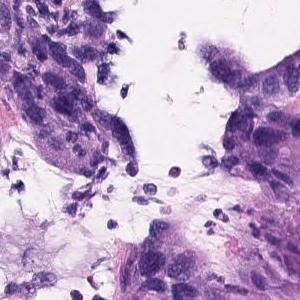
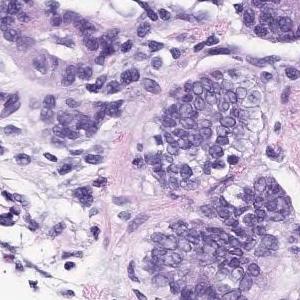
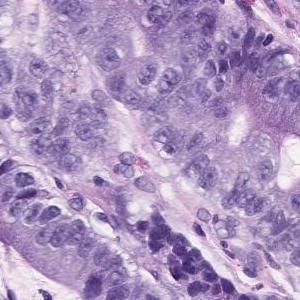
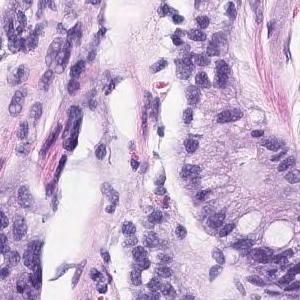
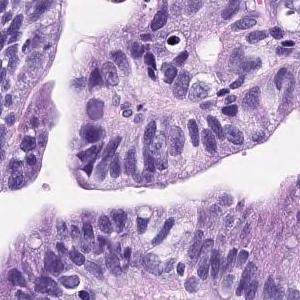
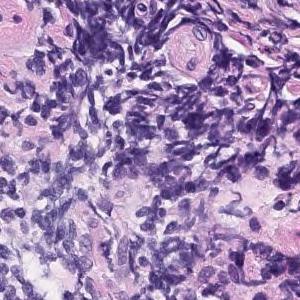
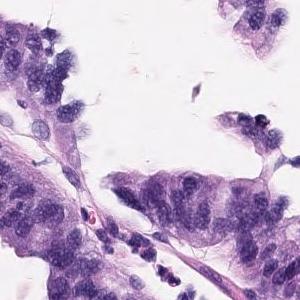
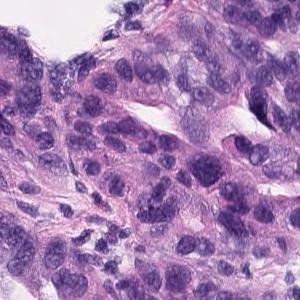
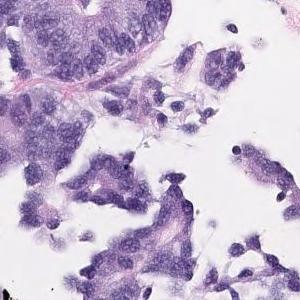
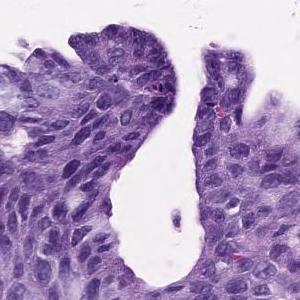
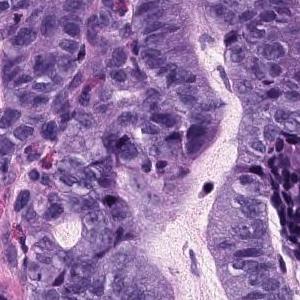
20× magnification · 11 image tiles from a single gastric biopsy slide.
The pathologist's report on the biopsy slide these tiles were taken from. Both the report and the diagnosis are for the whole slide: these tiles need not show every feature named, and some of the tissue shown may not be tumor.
In the superficial epithelium, tumor tissue that invades by forming medium-sized to small, irregular ducts is observed. Well to moderately differentiated tubular adenocarcinoma.
